16 tiles from the same stomach biopsy slide · 300×300 px each · scanned at ×20.
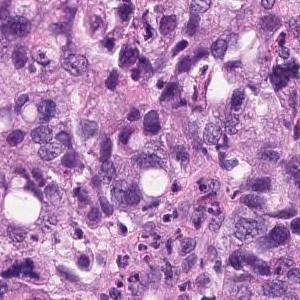
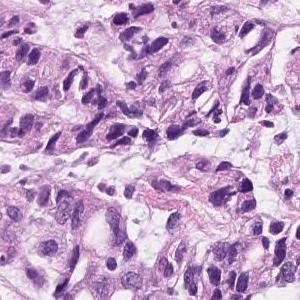
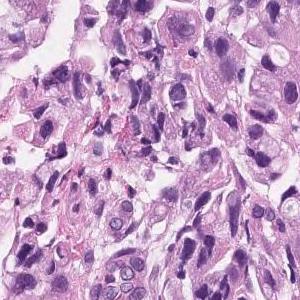
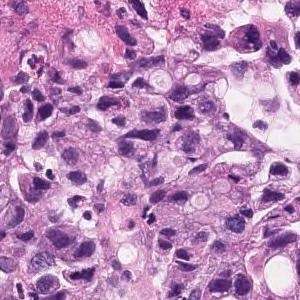
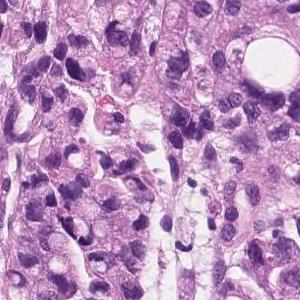
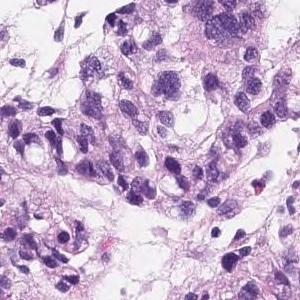
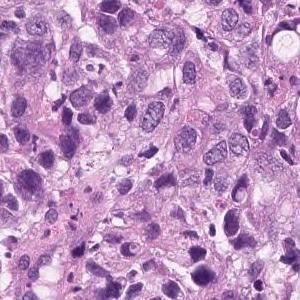
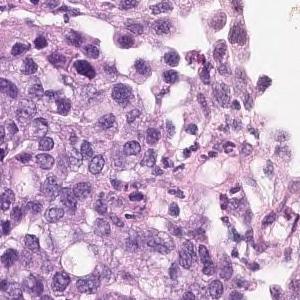
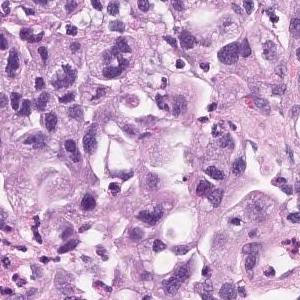
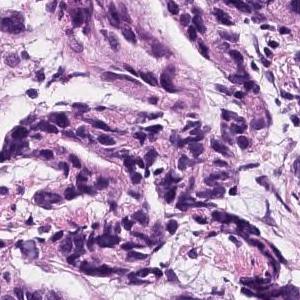
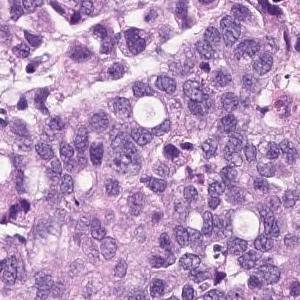
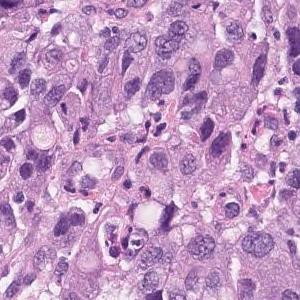
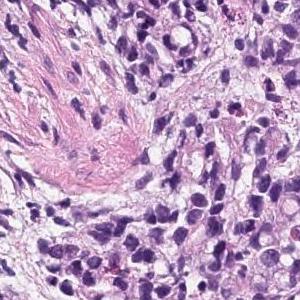
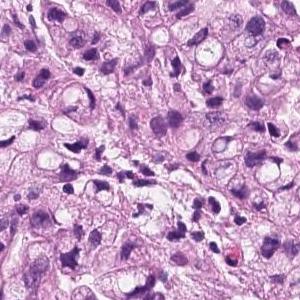
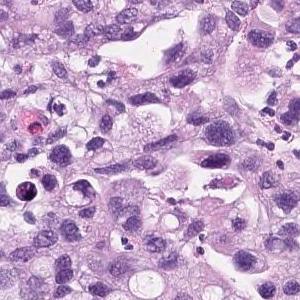
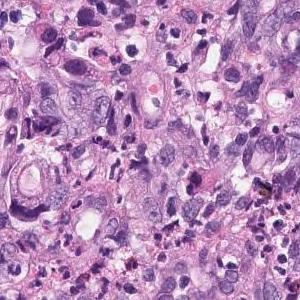
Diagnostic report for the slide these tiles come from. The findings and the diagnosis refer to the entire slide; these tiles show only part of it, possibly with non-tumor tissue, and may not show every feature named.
Group 5, Adenocarcinoma. Poorly differentiated adenocarcinoma, non-solid type
The non-solid type named here is a Japanese Classification of Gastric Carcinoma category.
